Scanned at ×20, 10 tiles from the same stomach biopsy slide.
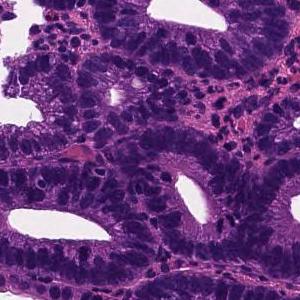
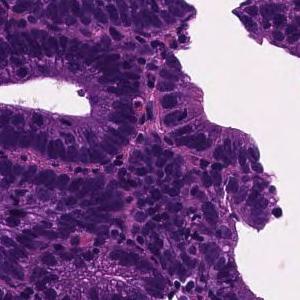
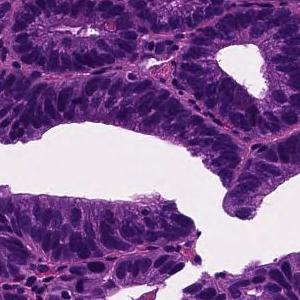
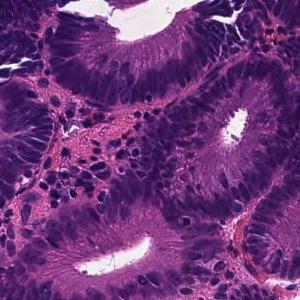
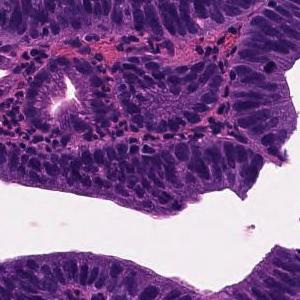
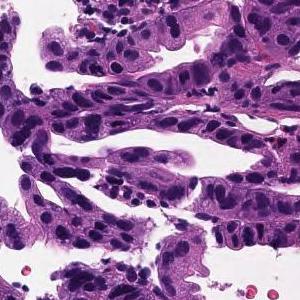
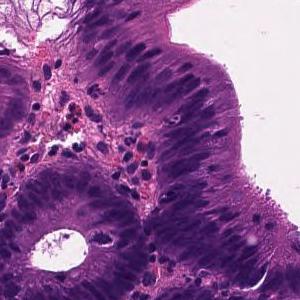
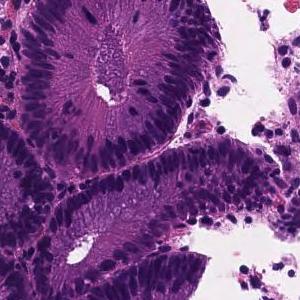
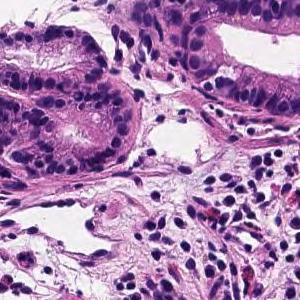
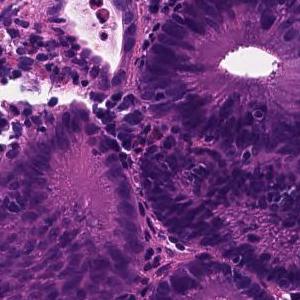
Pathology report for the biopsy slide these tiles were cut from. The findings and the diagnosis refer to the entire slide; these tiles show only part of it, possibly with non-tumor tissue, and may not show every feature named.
Tumor tissue in which medium to small irregular ducts infiltrate and proliferate in the submucosa can be seen in the epithelium. Well differentiated tubular adenocarcinoma
